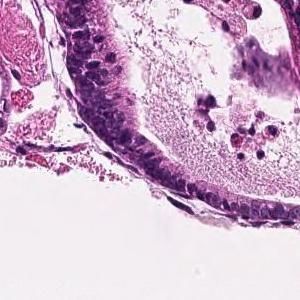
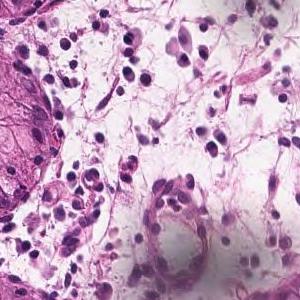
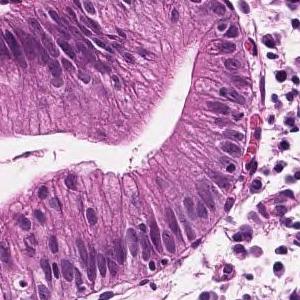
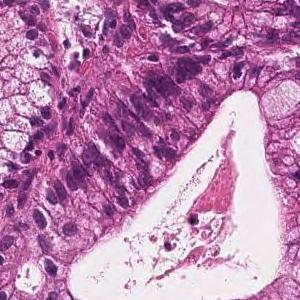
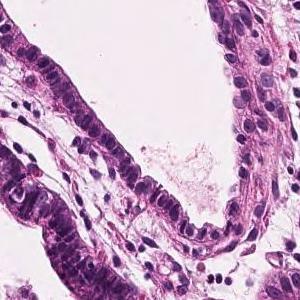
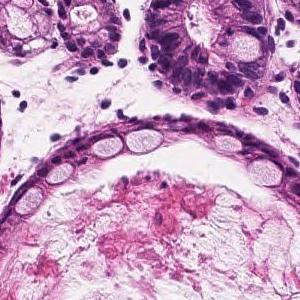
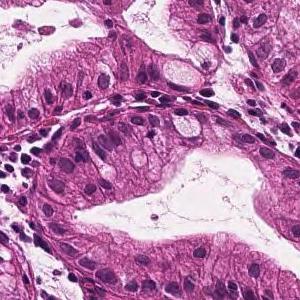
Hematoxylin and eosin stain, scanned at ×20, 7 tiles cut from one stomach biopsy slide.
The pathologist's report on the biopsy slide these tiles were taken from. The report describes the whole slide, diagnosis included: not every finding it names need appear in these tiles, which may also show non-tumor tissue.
In the superficial epithelium, tumor tissue that invades by forming medium-sized to small, irregular ducts is observed. Well differentiated tubular adenocarcinoma.
